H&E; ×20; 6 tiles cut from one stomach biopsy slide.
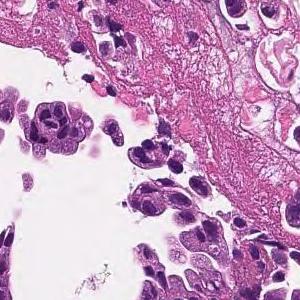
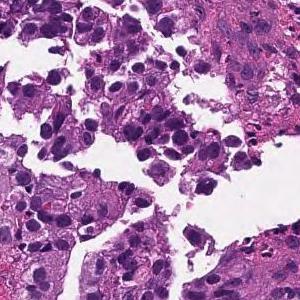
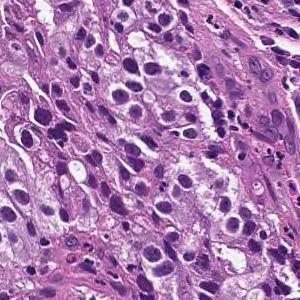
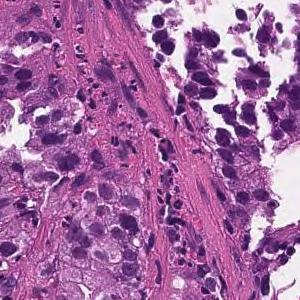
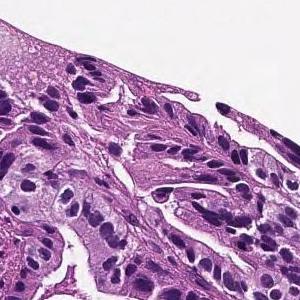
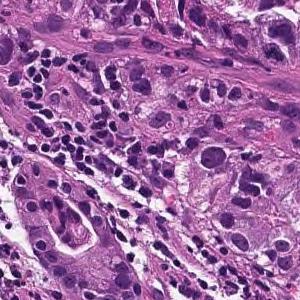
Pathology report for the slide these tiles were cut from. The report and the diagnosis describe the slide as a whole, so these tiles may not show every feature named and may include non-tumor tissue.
Medium to small, irregular glandular ducts are formed in the superficial epithelium, and in some cases, the glandular ducts are fused to show solid alveolar lesions and infiltrating tumor tissue is observed. Moderately to poorly differentiated adenocarcinoma.
